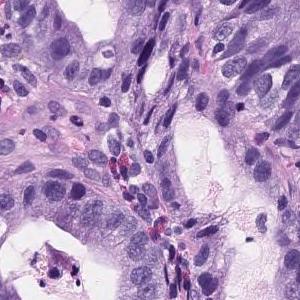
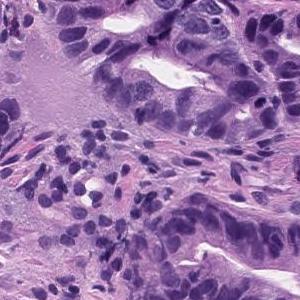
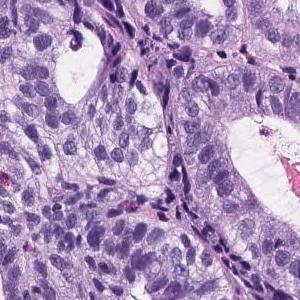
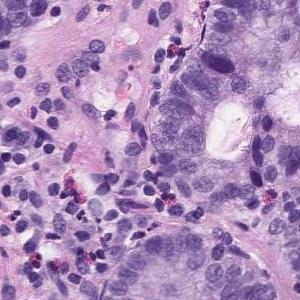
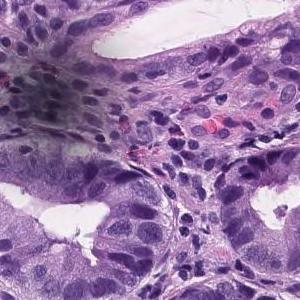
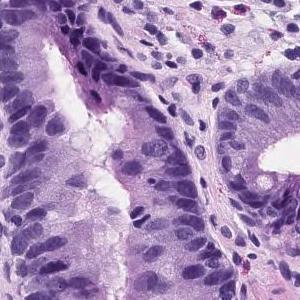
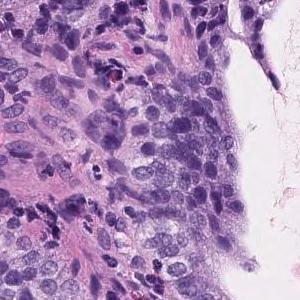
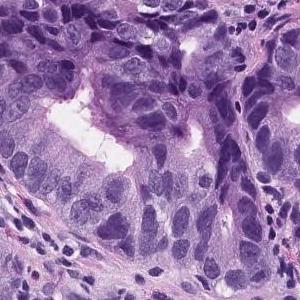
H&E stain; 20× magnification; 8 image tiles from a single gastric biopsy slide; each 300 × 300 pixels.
Report on the slide these tiles come from. Both the report and the diagnosis are for the whole slide: these tiles need not show every feature named, and some of the tissue shown may not be tumor.
Tumor tissue consisting of medium-sized and irregular ducts is observed infiltrating in the superficial epithelium. Tumor cells are highly columnar, with nuclei aligned basolaterally and polarized. Well differentiated tubular adenocarcinoma.
